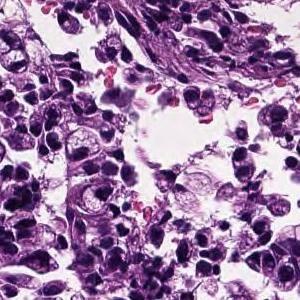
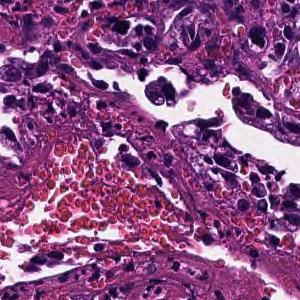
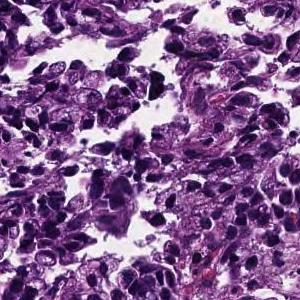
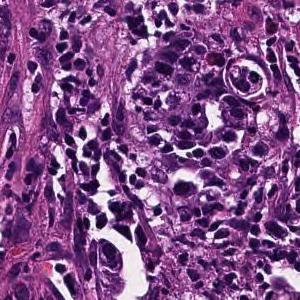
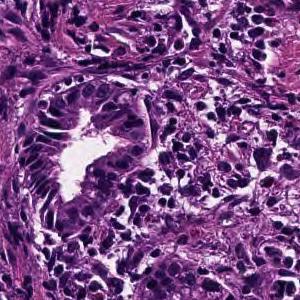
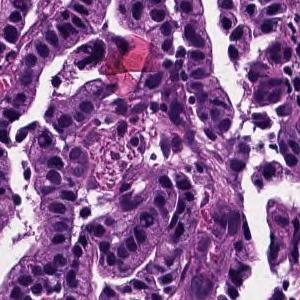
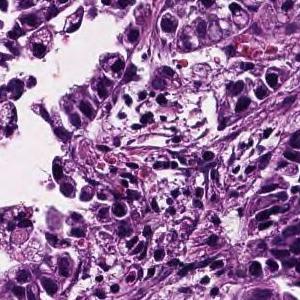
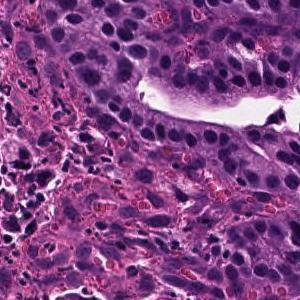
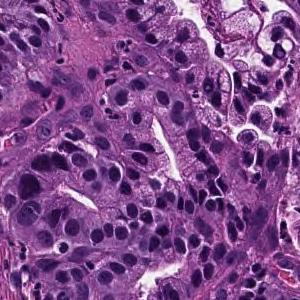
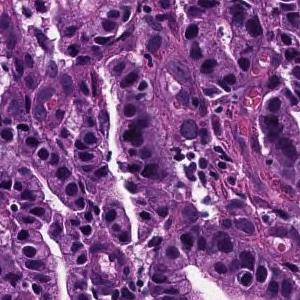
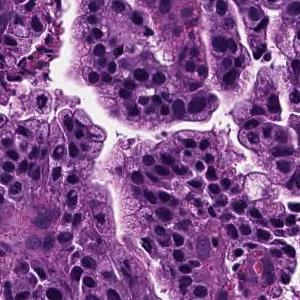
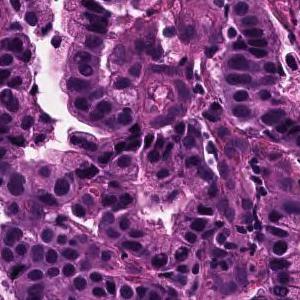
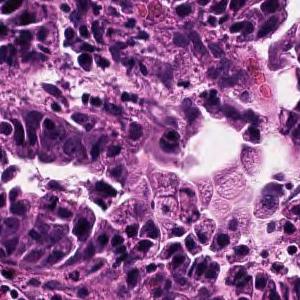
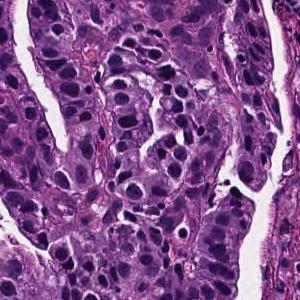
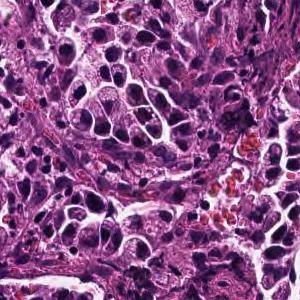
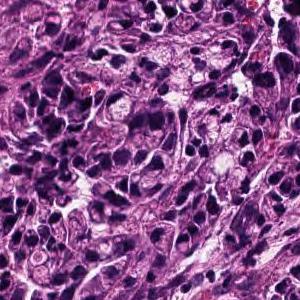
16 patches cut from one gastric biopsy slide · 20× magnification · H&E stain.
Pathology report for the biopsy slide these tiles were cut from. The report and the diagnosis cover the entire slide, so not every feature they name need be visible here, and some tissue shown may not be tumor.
Tumor cells are large, highly columnar, large club-shaped nuclei, and are associated with chromatin aggregation. Papillary adenocarcinoma.
